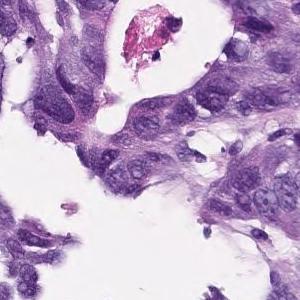
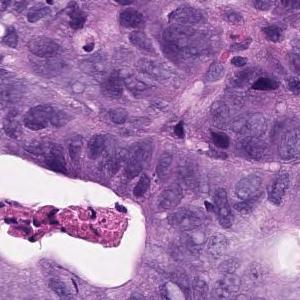
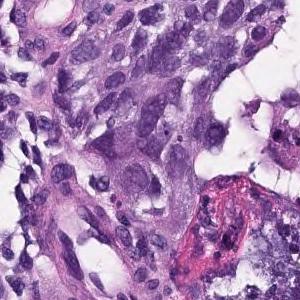
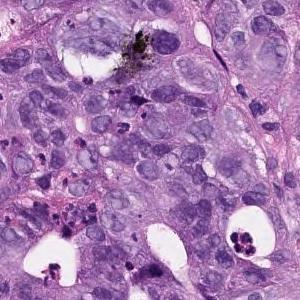
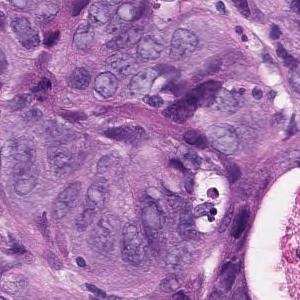
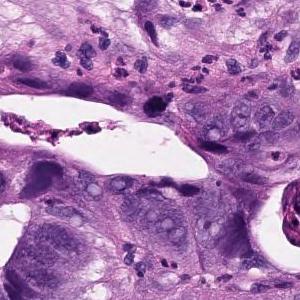
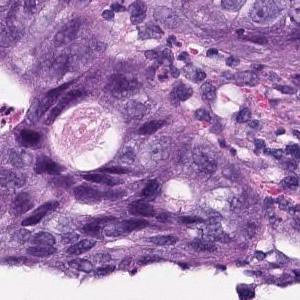
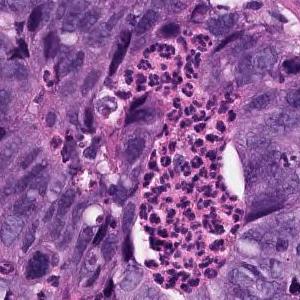
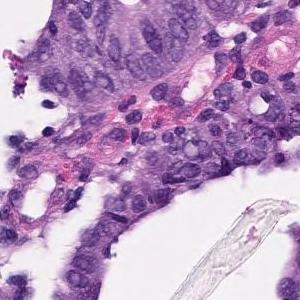
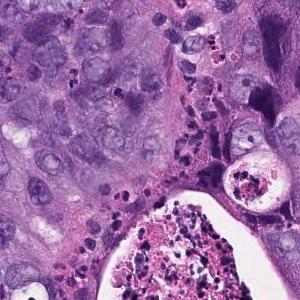
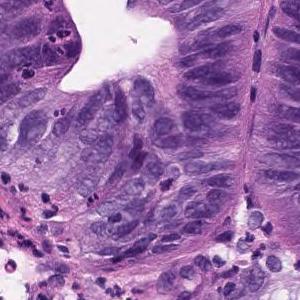
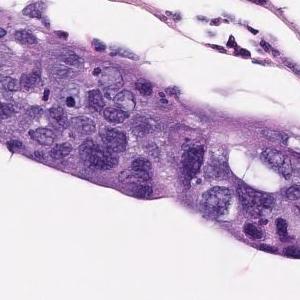
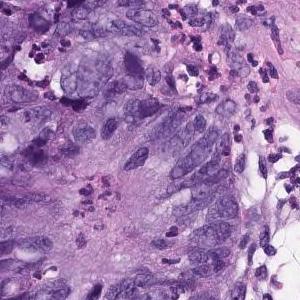
13 image tiles from a single gastric biopsy slide; hematoxylin and eosin stain.
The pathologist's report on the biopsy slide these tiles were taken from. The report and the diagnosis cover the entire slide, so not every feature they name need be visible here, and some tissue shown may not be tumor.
In the superficial epithelium, tumor tissue that invades by forming medium-sized to small, irregular ducts is observed. Moderately differentiated adenocarcinoma.
Histological subtype: Moderately differentiated tubular adenocarcinoma.
